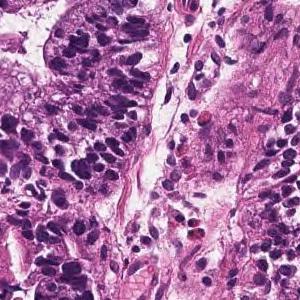
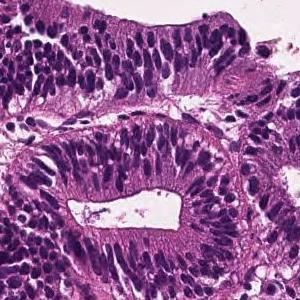
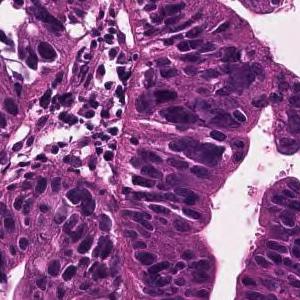
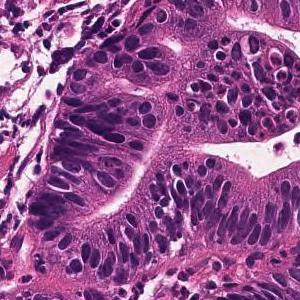
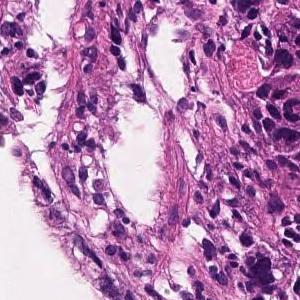
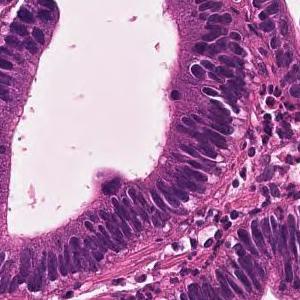
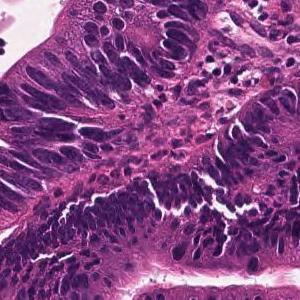
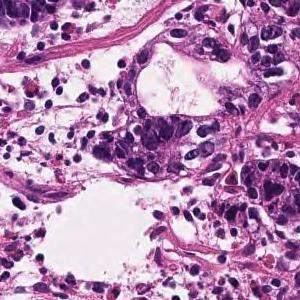
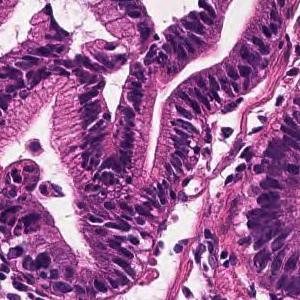
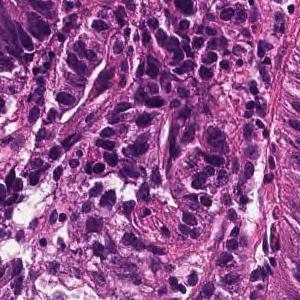
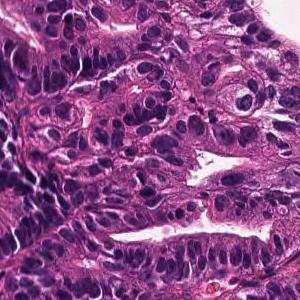
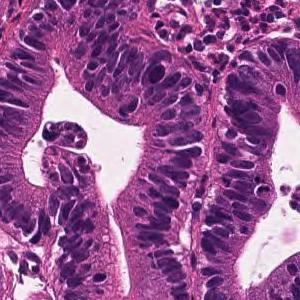
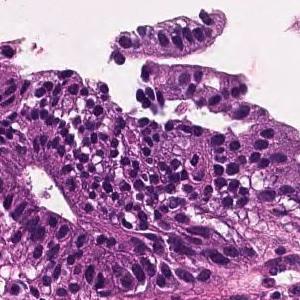
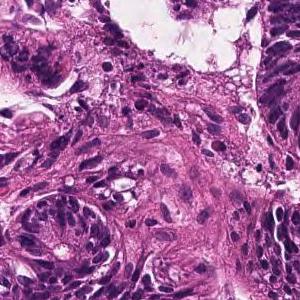
Scanned at ×20 · 14 tiles from the same stomach biopsy slide.
Pathology report for the slide these tiles were cut from. The report and the diagnosis cover the entire slide, so not every feature they name need be visible here, and some tissue shown may not be tumor.
A large irregular tubular structure is exhibited in the epithelium, and tumor tissue that partially fuses and infiltrates and proliferates is observed. Large columnar tumor cells exhibit enlarged nucleus, hyperchromatism, and mitotic figures. Well differentiated tubular adenocarcinoma
